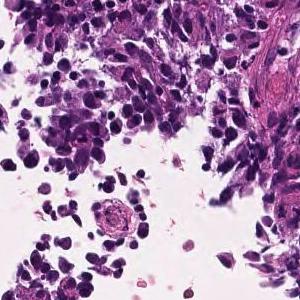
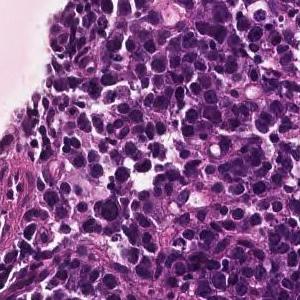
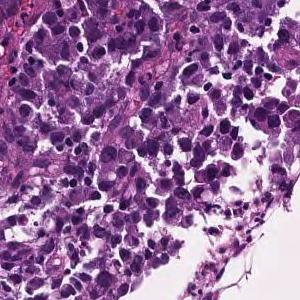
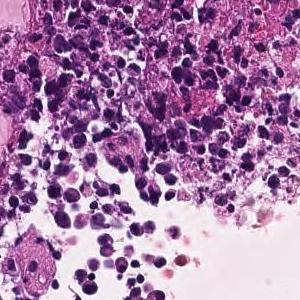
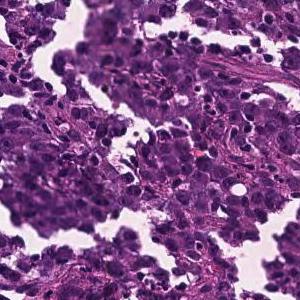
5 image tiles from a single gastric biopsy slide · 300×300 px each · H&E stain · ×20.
Pathology report for the slide these tiles were cut from. What the report and the diagnosis say applies to the whole slide; these tiles may miss some of the features named and may include tissue that is not tumor.
The superficial epithelium shows a large sheet-like shape, and some tumor tissue infiltrates with small irregular ducts. Poorly differentiated adenocarcinoma, solid-type
Tumor subtype: poorly differentiated adenocarcinoma, solid type, a category of the Japanese Classification of Gastric Carcinoma; in the WHO 2019 classification it is tubular adenocarcinoma, poorly differentiated.
